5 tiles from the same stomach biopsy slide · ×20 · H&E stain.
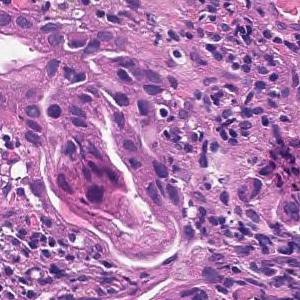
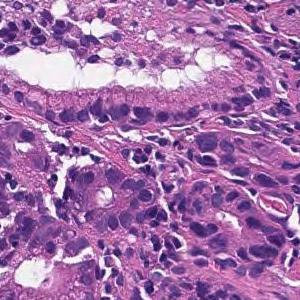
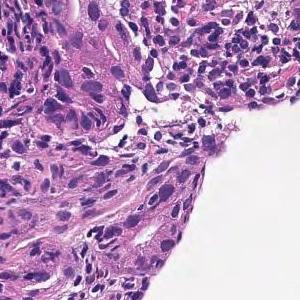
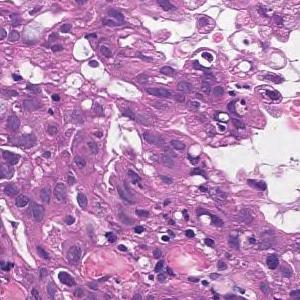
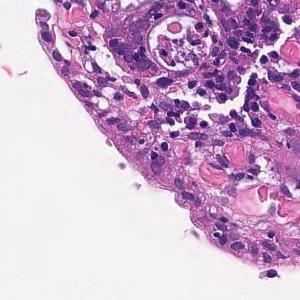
Diagnostic report for the slide these tiles come from. The report and the diagnosis cover the entire slide, so not every feature they name need be visible here, and some tissue shown may not be tumor.
In the superficial epithelium, tumor tissue that invades by forming medium-sized to small, irregular ducts is observed. moderately differentiated tubular adenocarcinoma.
